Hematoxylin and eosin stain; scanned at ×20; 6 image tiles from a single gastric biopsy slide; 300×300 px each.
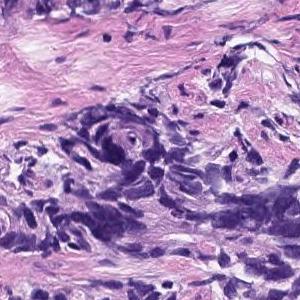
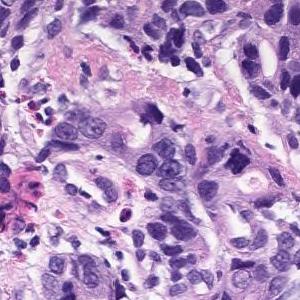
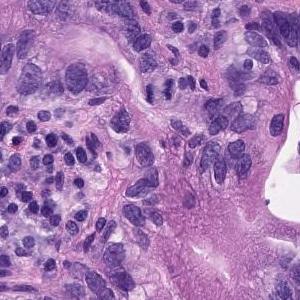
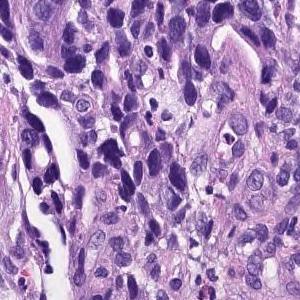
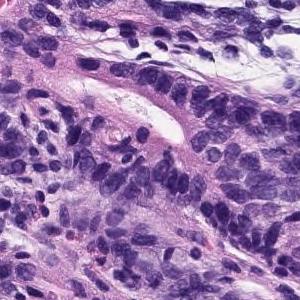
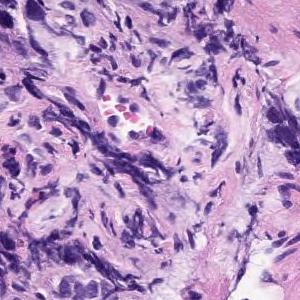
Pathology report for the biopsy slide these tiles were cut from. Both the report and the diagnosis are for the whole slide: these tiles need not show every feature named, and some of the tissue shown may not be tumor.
On the superficial epithelium, tumor tissue consisting of images showing invasive growth with small, irregular tubules partially fused is observed. moderately differentiated tubular adenocarcinoma
